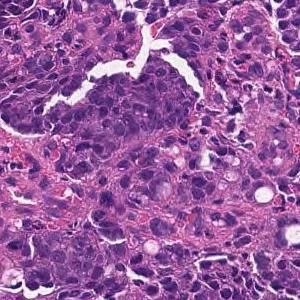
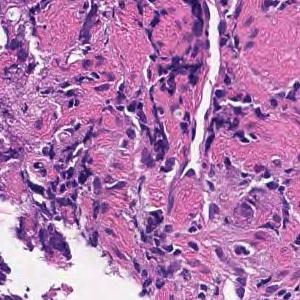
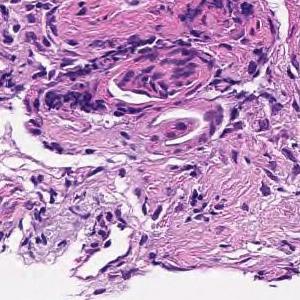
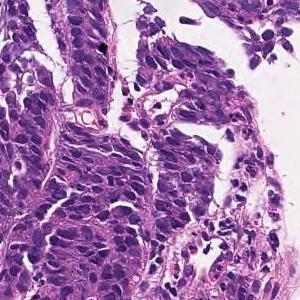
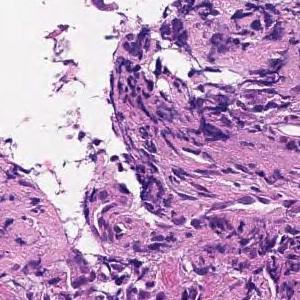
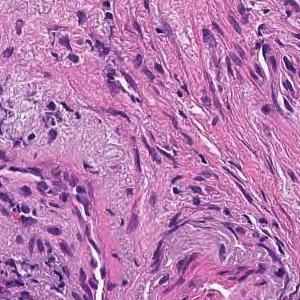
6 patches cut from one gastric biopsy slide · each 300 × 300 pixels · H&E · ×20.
The pathologist's report on the biopsy slide these tiles were taken from. The findings and the diagnosis refer to the entire slide; these tiles show only part of it, possibly with non-tumor tissue, and may not show every feature named.
Tumor tissue consisting of cord-like or small, irregular glandular ducts fused and infiltrated is observed in the superficial epithelium. Poorly differentiated adenocarcinoma, non-solid type
"Non-solid type" is a category of the Japanese Classification of Gastric Carcinoma.
